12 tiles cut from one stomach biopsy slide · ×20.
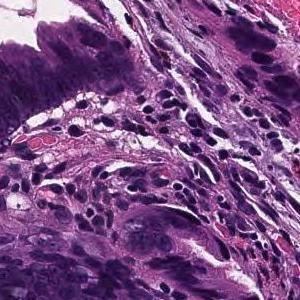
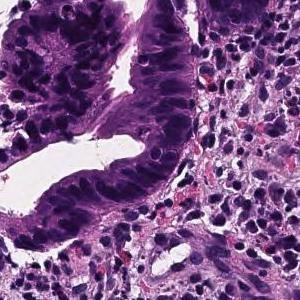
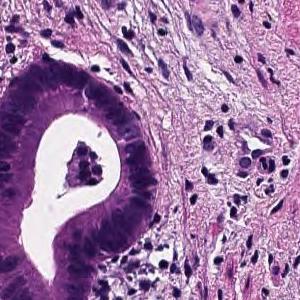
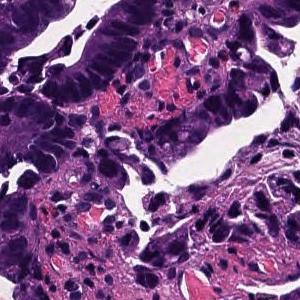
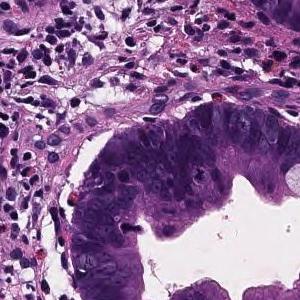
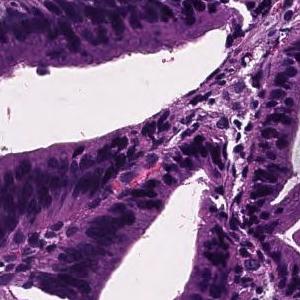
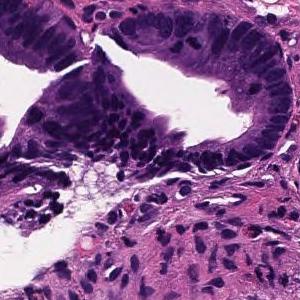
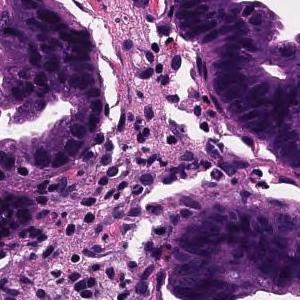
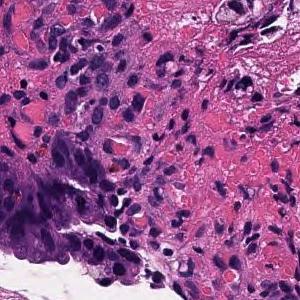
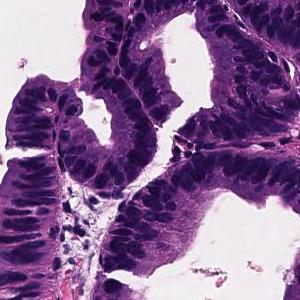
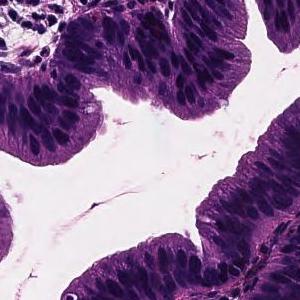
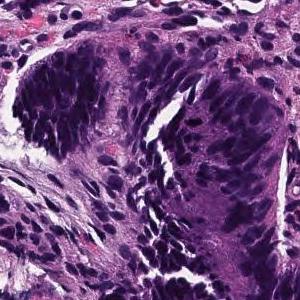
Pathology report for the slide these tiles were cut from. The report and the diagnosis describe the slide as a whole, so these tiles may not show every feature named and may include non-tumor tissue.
Tumor cells are large, highly columnar, large club-shaped nuclei, and are associated with chromatin aggregation. Papillary adenocarcinoma.
